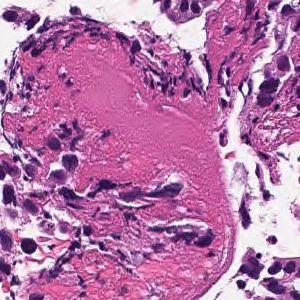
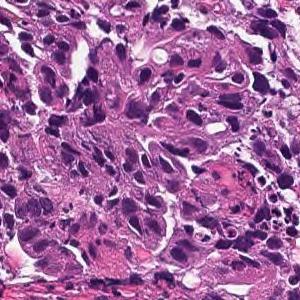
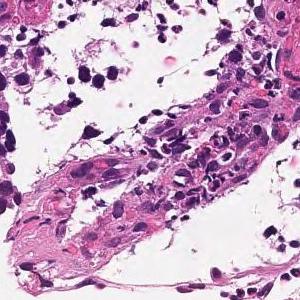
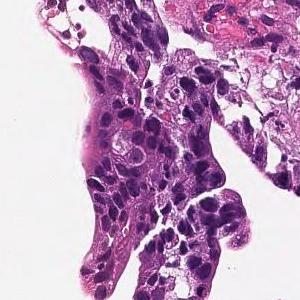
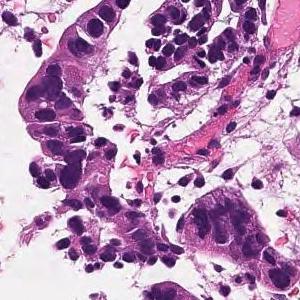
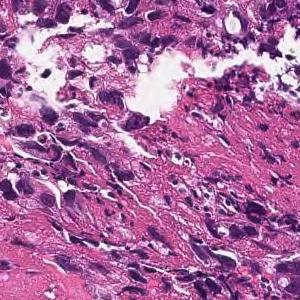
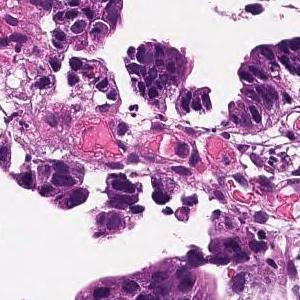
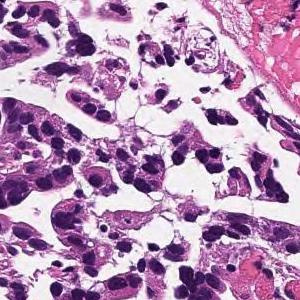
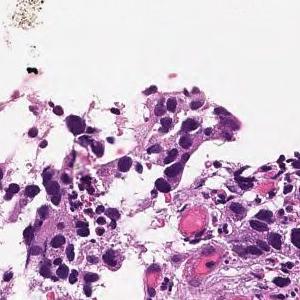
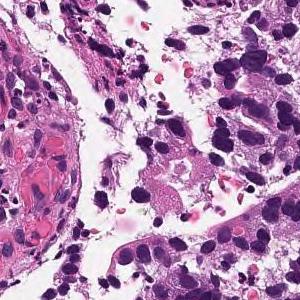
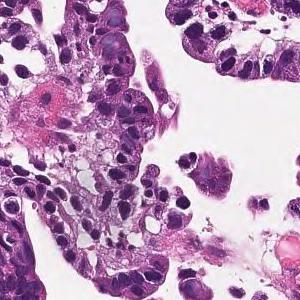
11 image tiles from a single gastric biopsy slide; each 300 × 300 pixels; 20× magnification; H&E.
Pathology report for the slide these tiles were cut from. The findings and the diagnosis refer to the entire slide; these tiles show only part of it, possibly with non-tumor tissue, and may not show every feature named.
In the superficial epithelium, tumor tissue that invades by forming medium-sized to small, irregular ducts is observed. moderately differentiated tubular adenocarcinoma.
